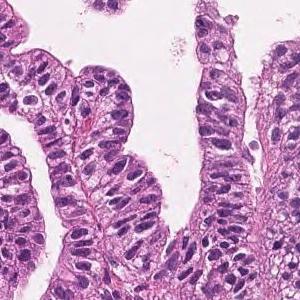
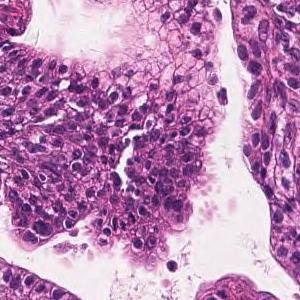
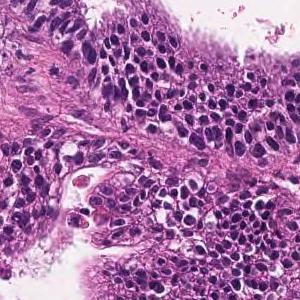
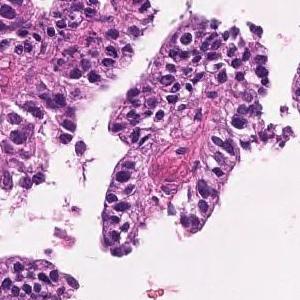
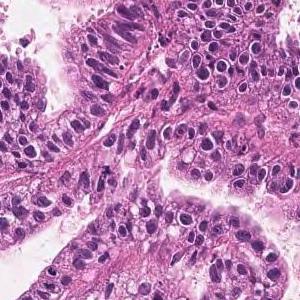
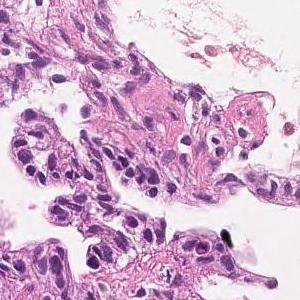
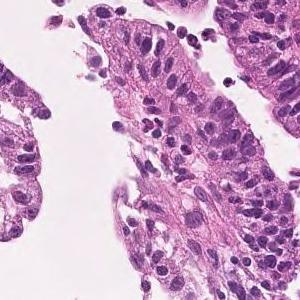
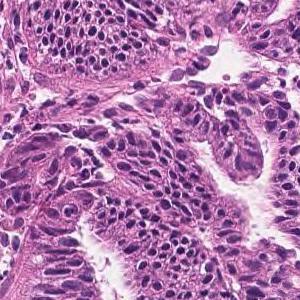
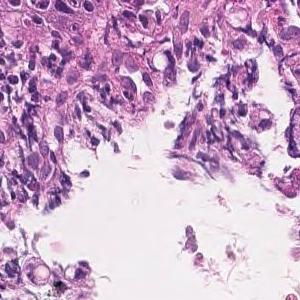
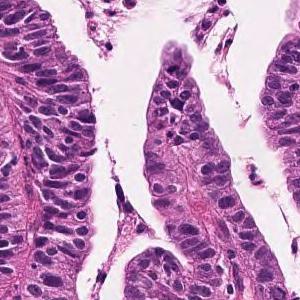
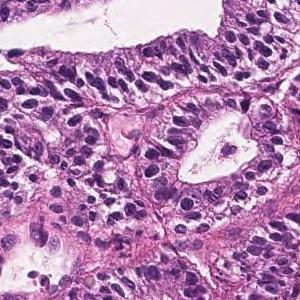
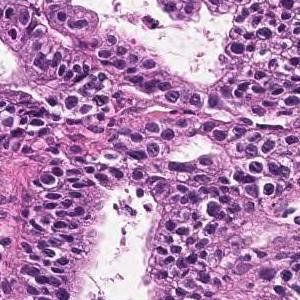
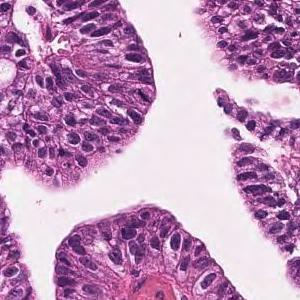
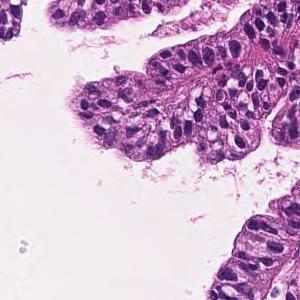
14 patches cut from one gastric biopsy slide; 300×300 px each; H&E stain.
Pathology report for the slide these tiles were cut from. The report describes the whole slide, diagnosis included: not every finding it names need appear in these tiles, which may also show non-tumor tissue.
Tumor cells are large, highly columnar, large club-shaped nuclei, and are associated with chromatin aggregation. Papillary adenocarcinoma.
